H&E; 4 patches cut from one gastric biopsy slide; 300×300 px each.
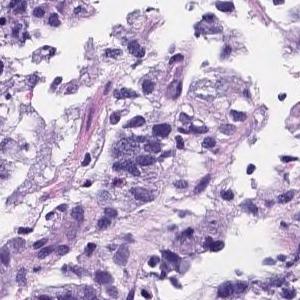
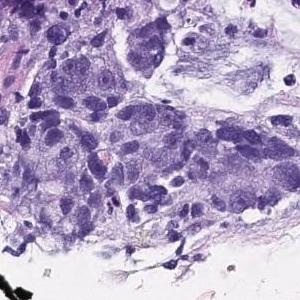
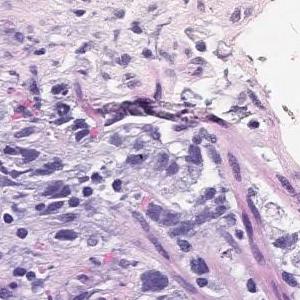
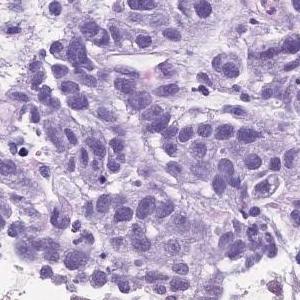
Pathology report for the biopsy slide these tiles were cut from. The report describes the whole slide, diagnosis included: not every finding it names need appear in these tiles, which may also show non-tumor tissue.
Atypical l cells with atypical nuclei forming solid vesicles or small irregular atypical ducts that proliferate in a complex manner. poorly differentiated adenocarcinoma, solid type, moderately differentiated tubular adenocarcinoma
The term "solid type" comes from the Japanese Classification of Gastric Carcinoma; the WHO 2019 equivalent is tubular adenocarcinoma, poorly differentiated.
